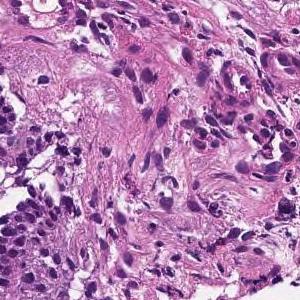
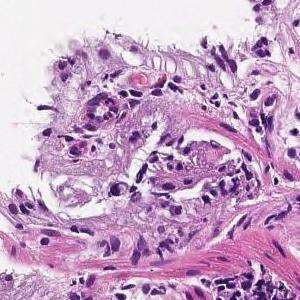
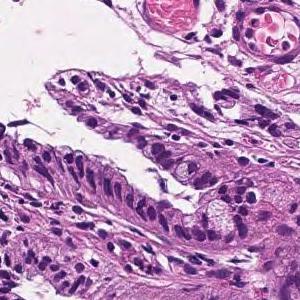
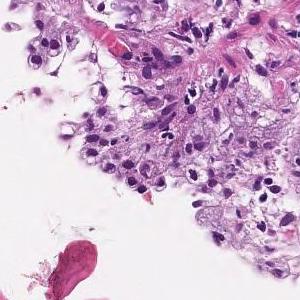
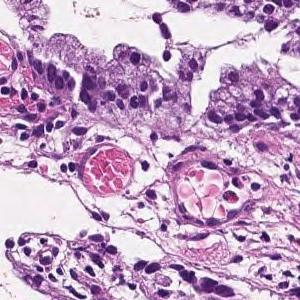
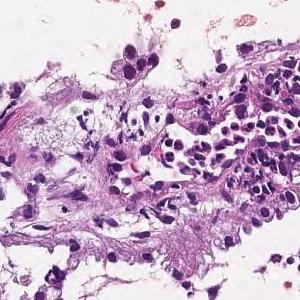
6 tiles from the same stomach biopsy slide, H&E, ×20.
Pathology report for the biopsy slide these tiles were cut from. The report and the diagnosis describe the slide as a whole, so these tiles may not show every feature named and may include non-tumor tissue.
On the superficial epithelium, tumor tissue that infiltrates by forming medium-sized papillary or small irregular ducts is observed. Papillary adenocarcinoma
